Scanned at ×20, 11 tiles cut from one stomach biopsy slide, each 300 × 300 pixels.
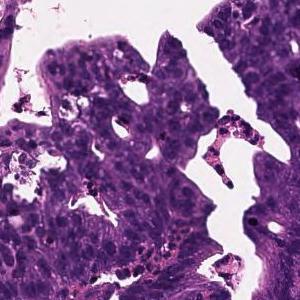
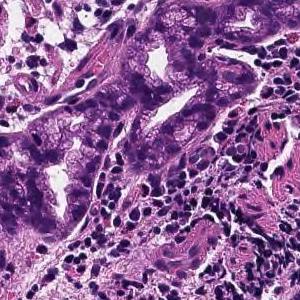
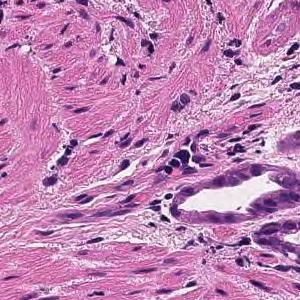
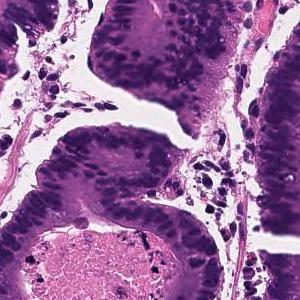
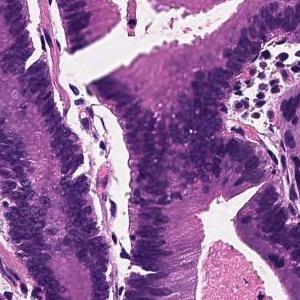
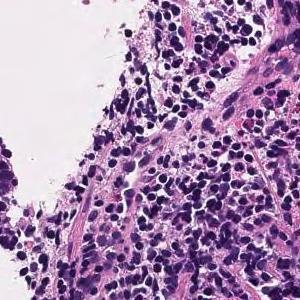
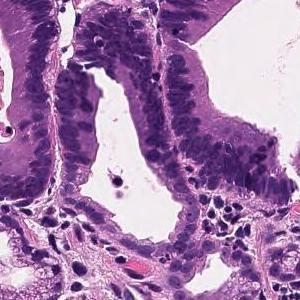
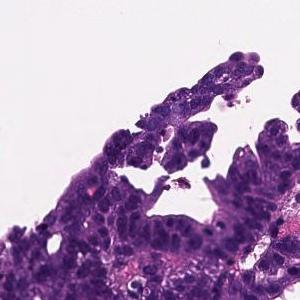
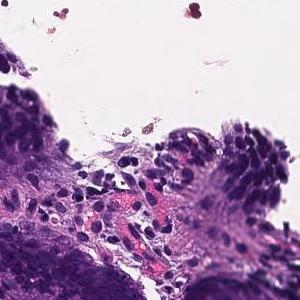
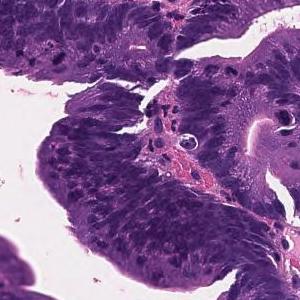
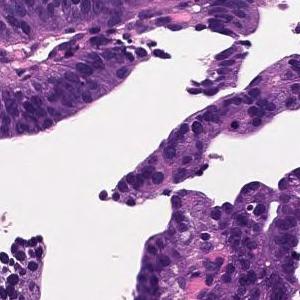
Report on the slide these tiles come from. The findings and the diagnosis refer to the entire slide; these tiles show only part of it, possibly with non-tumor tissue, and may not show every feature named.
Tumor tissue consisting of large papillary structures is found in the superficial epithelium. Papillary adenocarcinoma.
